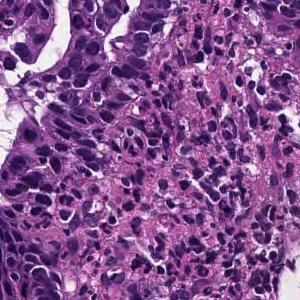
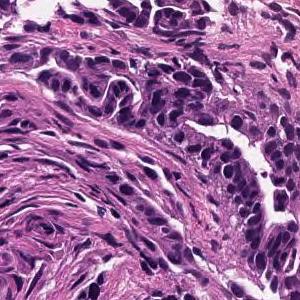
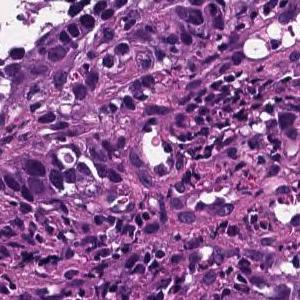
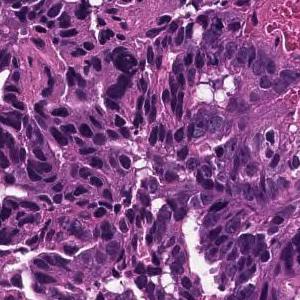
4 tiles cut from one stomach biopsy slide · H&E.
Diagnostic report for the slide these tiles come from. The report and the diagnosis cover the entire slide, so not every feature they name need be visible here, and some tissue shown may not be tumor.
Tumor cells are large, highly columnar, large club-shaped nuclei, and are associated with chromatin aggregation. Papillary adenocarcinoma.
